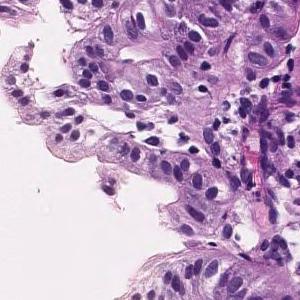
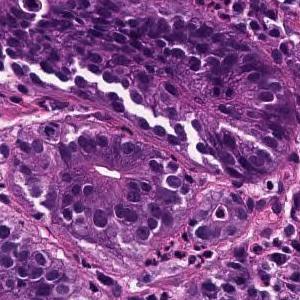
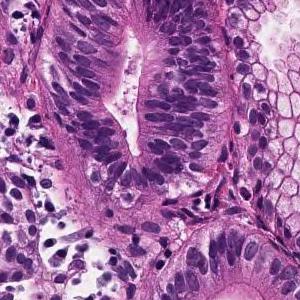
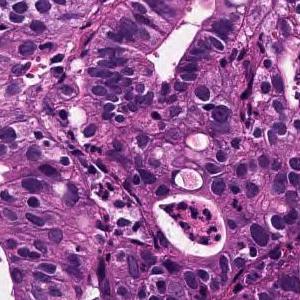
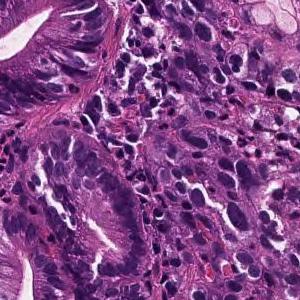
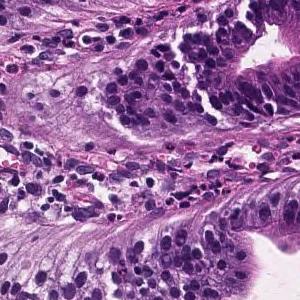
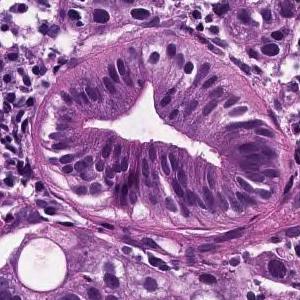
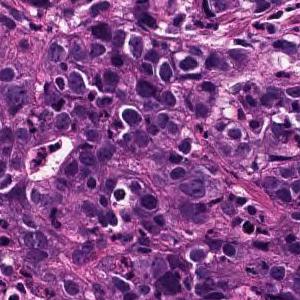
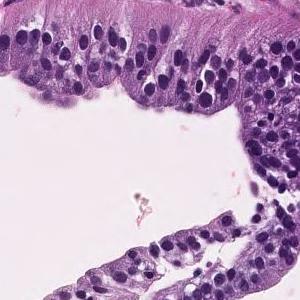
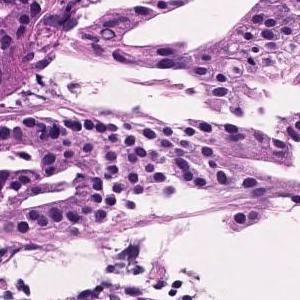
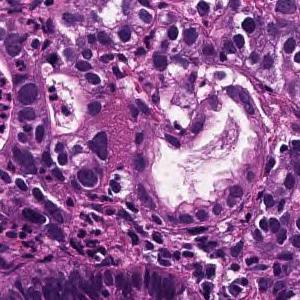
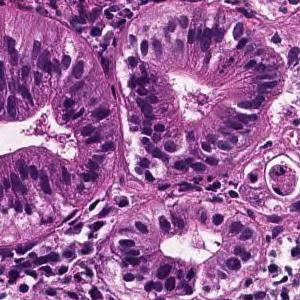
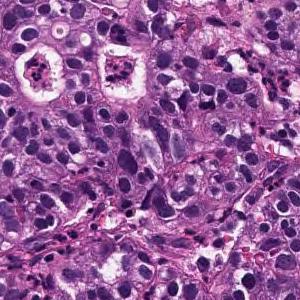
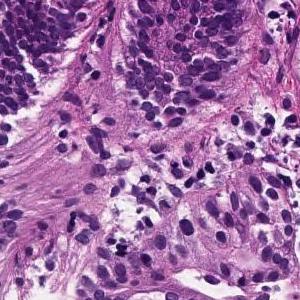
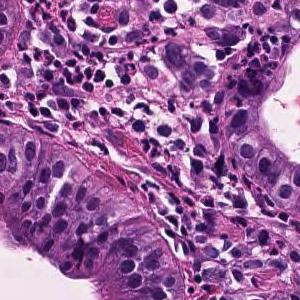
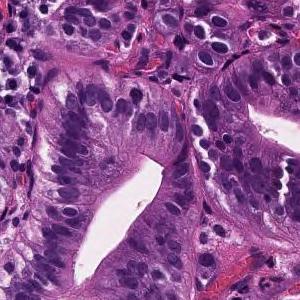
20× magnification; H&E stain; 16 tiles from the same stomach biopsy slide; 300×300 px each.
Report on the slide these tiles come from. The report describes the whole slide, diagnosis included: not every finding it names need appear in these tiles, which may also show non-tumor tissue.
In the superficial epithelium, tumor tissue that invades by forming medium-sized to small, irregular ducts is observed. moderately differentiated tubular adenocarcinoma.
